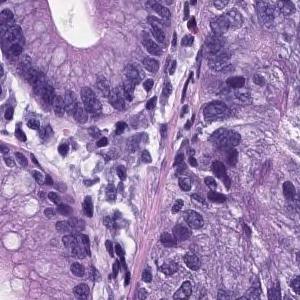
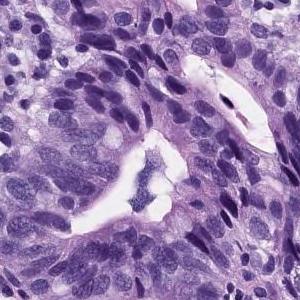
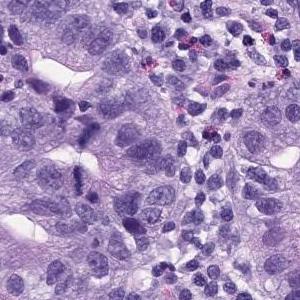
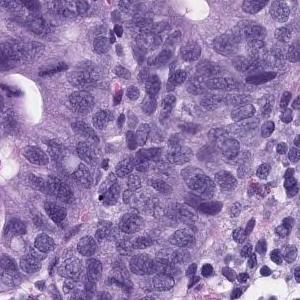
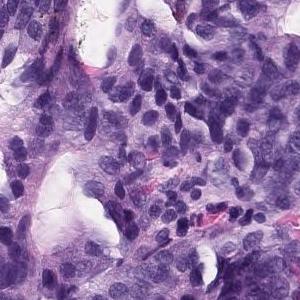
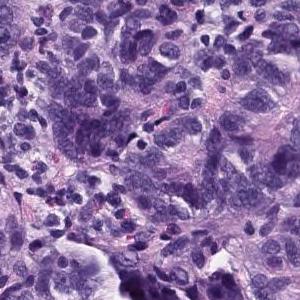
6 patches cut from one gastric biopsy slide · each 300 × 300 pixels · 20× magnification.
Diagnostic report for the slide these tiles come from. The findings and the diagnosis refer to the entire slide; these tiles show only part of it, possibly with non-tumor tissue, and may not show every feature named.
In the superficial epithelium, tumor tissue that invades by forming medium-sized to small, irregular ducts is observed. Moderately differentiated adenocarcinoma.
Histologic type: Moderately differentiated tubular adenocarcinoma.
